Scanned at ×20, H&E, 9 tiles cut from one stomach biopsy slide, each 300 × 300 pixels.
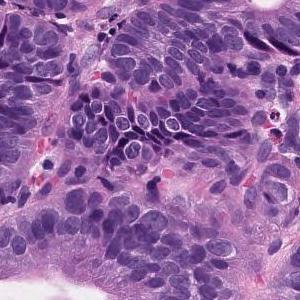
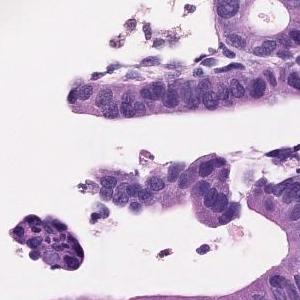
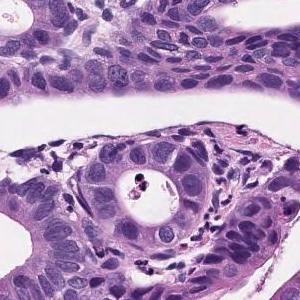
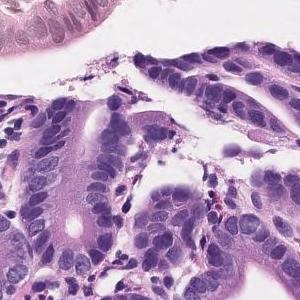
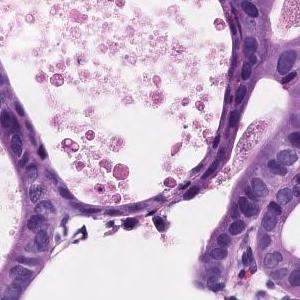
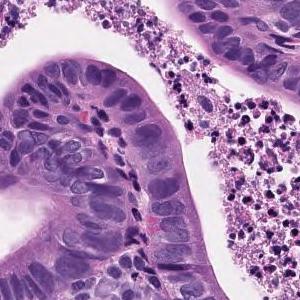
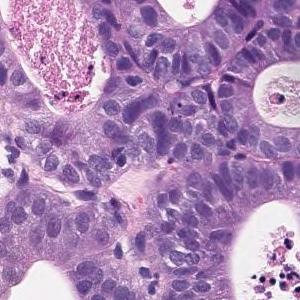
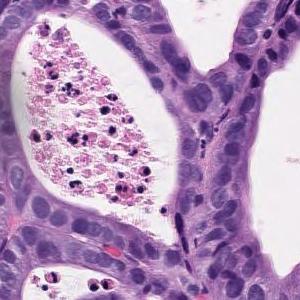
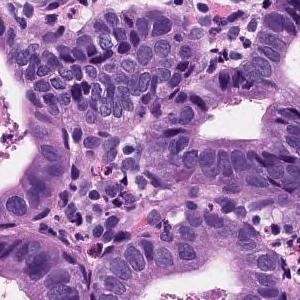
Diagnostic report for the slide these tiles come from. What the report and the diagnosis say applies to the whole slide; these tiles may miss some of the features named and may include tissue that is not tumor.
Tumor tissue consisting of proliferative medium to large, round or irregular glandular ducts in the superficial epithelium. Well differentiated adenocarcinoma.
Subtype: Well differentiated tubular adenocarcinoma.
